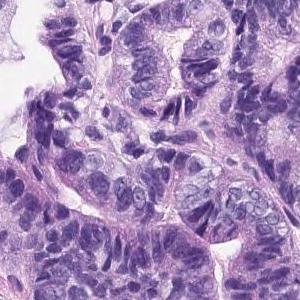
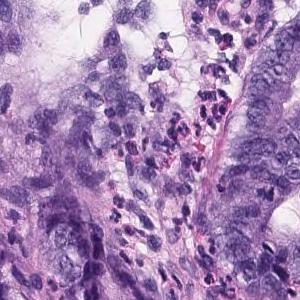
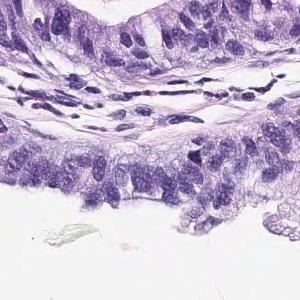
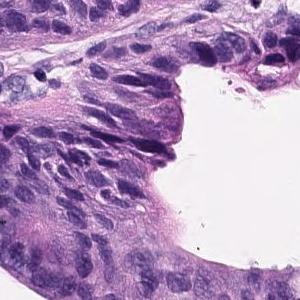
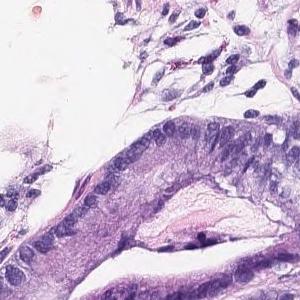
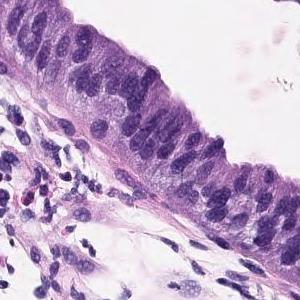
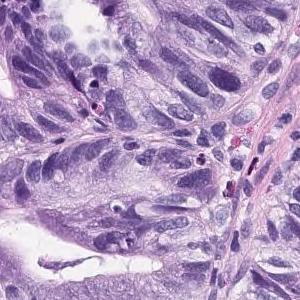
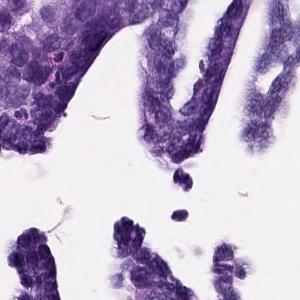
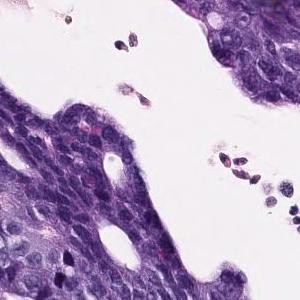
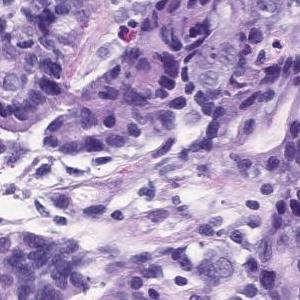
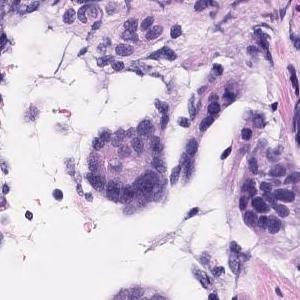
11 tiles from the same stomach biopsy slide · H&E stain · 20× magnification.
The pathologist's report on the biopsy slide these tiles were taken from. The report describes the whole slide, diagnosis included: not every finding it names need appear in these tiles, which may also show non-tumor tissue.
In the superficial epithelium, tumor tissue that invades by forming medium-sized to small, irregular ducts is observed. Well to moderately differentiated tubular adenocarcinoma.
